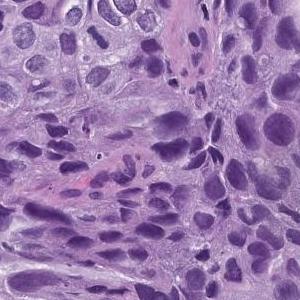
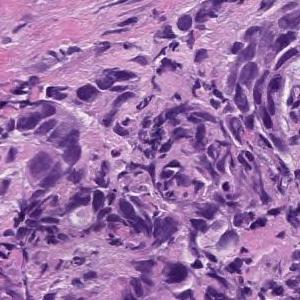
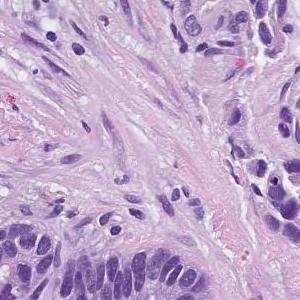
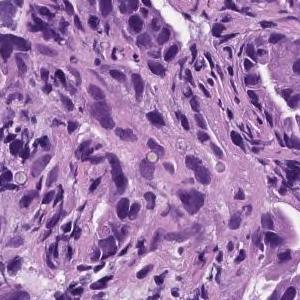
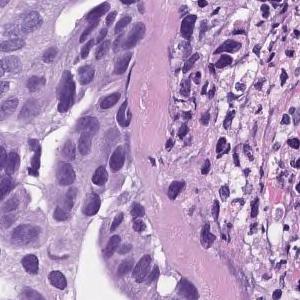
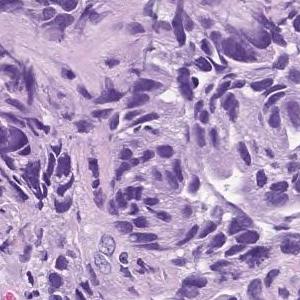
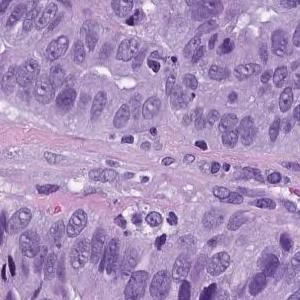
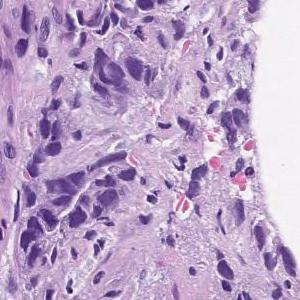
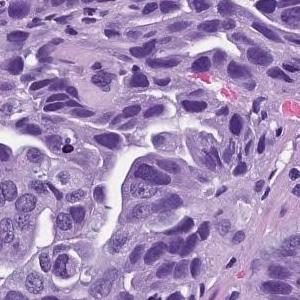
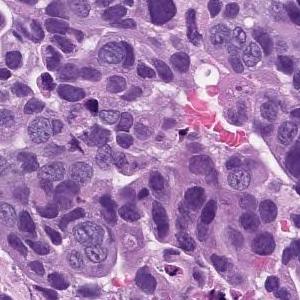
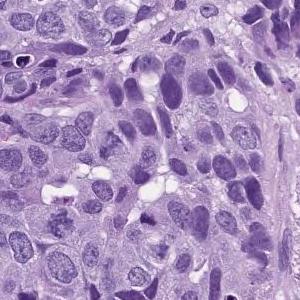
11 image tiles from a single gastric biopsy slide, 20× magnification, hematoxylin and eosin stain.
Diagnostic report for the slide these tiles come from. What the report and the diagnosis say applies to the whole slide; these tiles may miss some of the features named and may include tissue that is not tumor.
In the superficial epithelium, tumor tissue that invades by forming medium-sized to small, irregular ducts is observed. moderately differentiated tubular adenocarcinoma.
